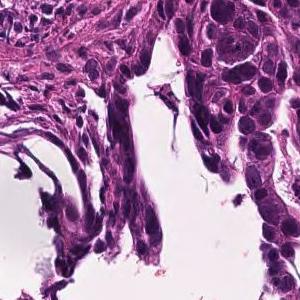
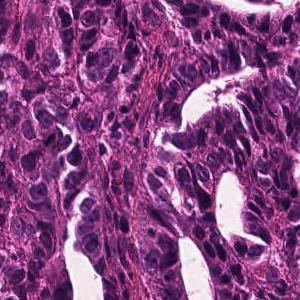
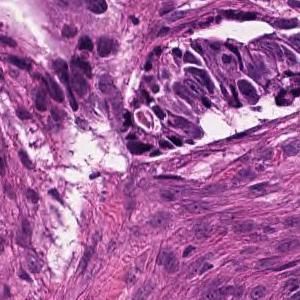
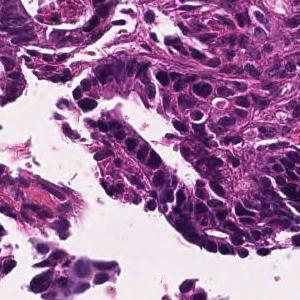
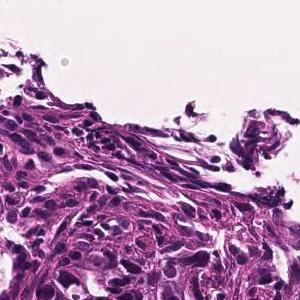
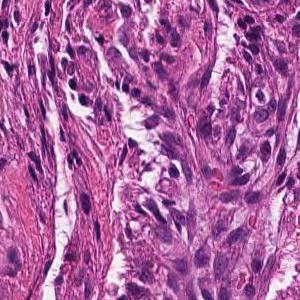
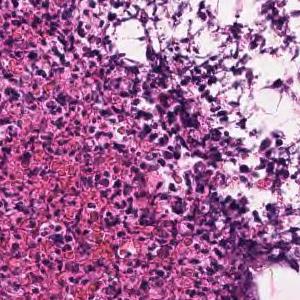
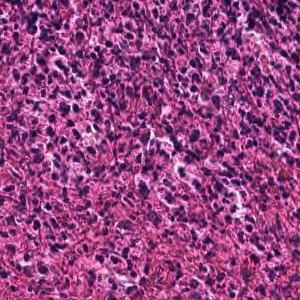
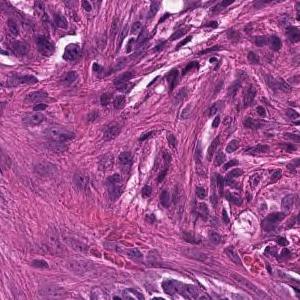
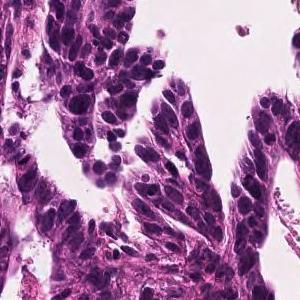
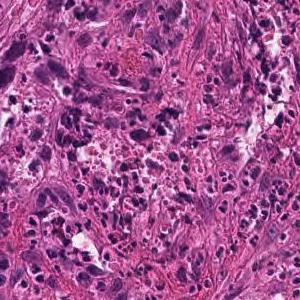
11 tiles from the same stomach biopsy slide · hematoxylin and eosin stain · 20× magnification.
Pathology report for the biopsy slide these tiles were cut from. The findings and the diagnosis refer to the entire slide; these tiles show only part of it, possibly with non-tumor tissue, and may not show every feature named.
In the superficial epithelium, tumor tissue that invades by forming medium-sized to small, irregular ducts is observed. moderately differentiated tubular adenocarcinoma.
